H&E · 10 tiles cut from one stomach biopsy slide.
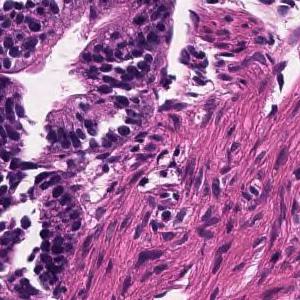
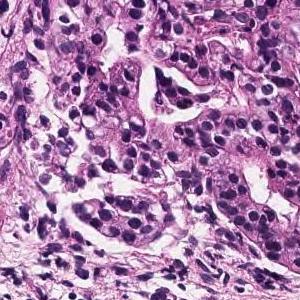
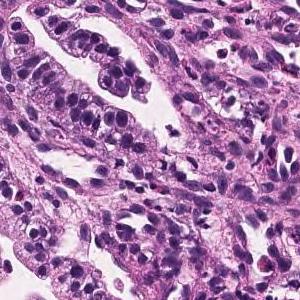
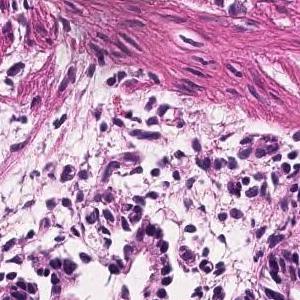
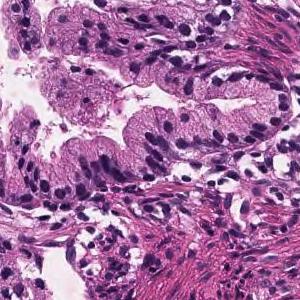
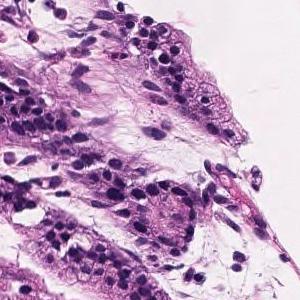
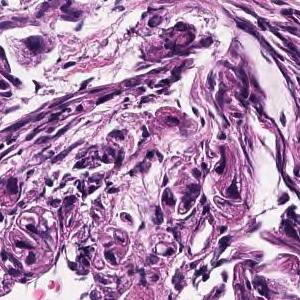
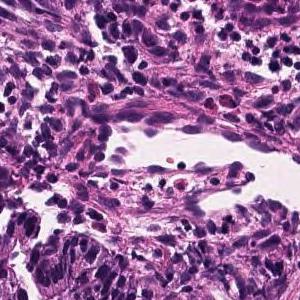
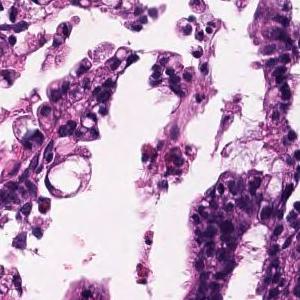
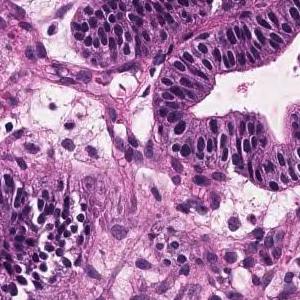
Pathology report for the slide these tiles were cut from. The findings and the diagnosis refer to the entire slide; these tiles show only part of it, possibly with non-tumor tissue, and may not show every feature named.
Tumor tissue consisting of large papillary structures or irregular glandular ducts partially fused and infiltrated is observed in the superficial epithelium. Well to moderately differentiated tubular adenocarcinoma.
Dataset label: moderately differentiated tubular adenocarcinoma.
